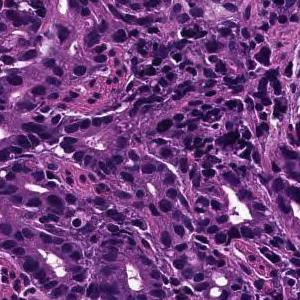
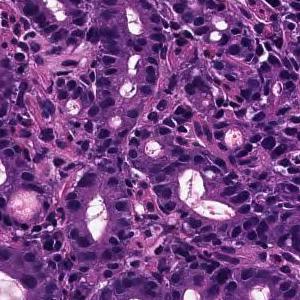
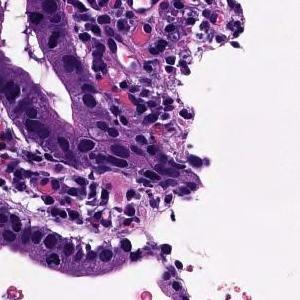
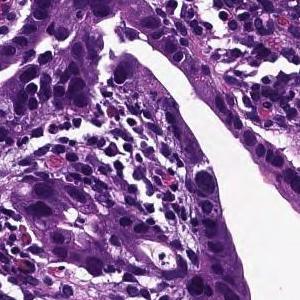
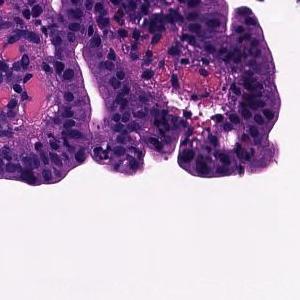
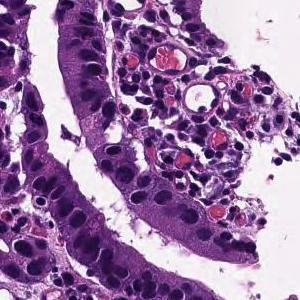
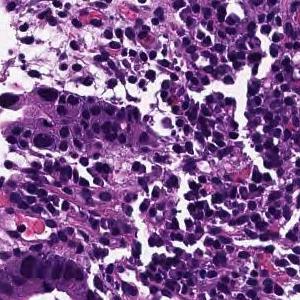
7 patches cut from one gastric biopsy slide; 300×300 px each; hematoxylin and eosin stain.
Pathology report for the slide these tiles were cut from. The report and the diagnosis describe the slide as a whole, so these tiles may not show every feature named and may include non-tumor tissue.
From the superficial epithelium to the muscularis mucosae, tumor tissue consisting of medium-sized and irregular glandular ducts infiltrating is observed. Well differentiated tubular adenocarcinoma
